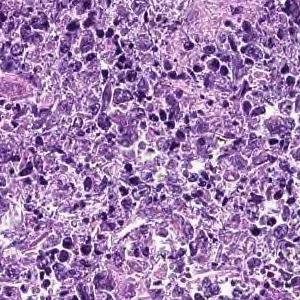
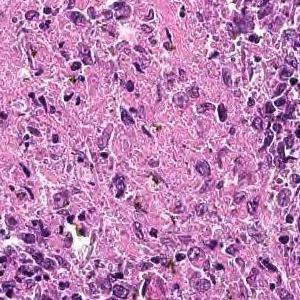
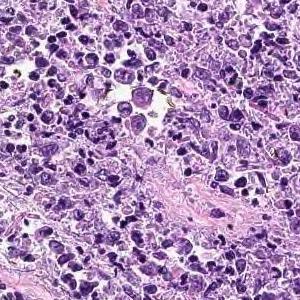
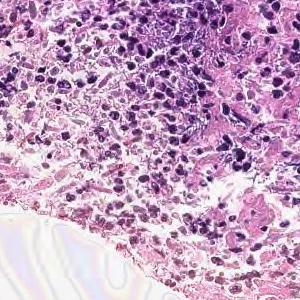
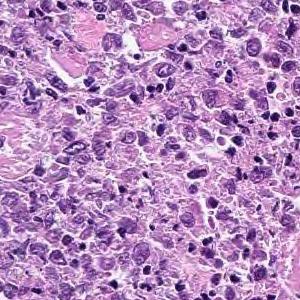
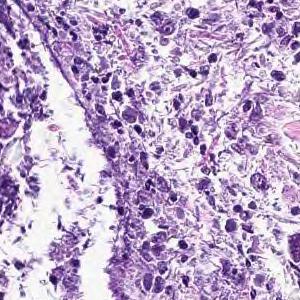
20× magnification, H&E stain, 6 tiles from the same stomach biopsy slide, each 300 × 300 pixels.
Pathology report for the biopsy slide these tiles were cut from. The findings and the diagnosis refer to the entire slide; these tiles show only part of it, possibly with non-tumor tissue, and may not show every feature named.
Cancers with polygonal nuclei do not show glandular formation and are densely, in part, cord-like and proliferate. Poorly differentiated adenocarcinoma
Subtype: Poorly differentiated adenocarcinoma, non-solid type.
"Non-solid type" is a category of the Japanese Classification of Gastric Carcinoma.
